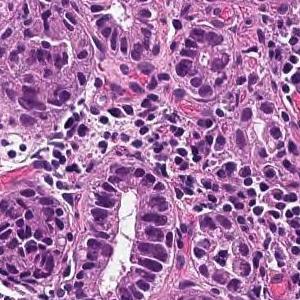
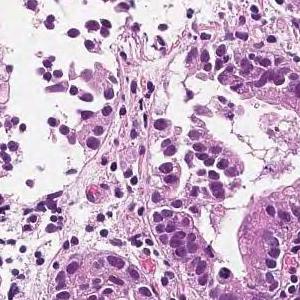
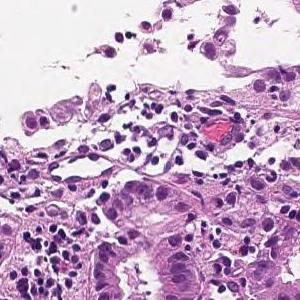
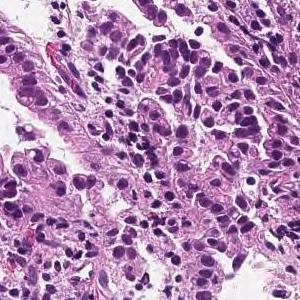
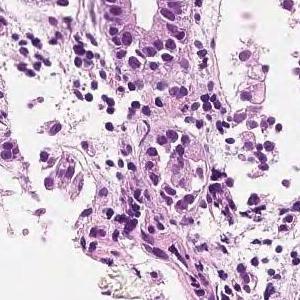
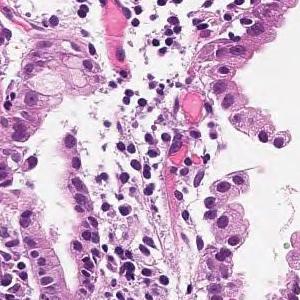
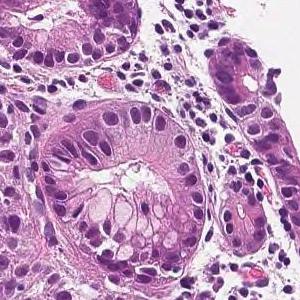
H&E stain; 7 image tiles from a single gastric biopsy slide.
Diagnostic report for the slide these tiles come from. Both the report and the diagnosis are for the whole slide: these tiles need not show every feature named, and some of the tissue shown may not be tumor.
In the superficial epithelium, tumor tissue that invades by forming medium-sized to small, irregular ducts is observed. moderately differentiated tubular adenocarcinoma.
